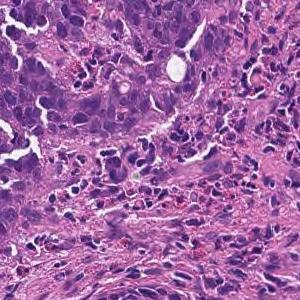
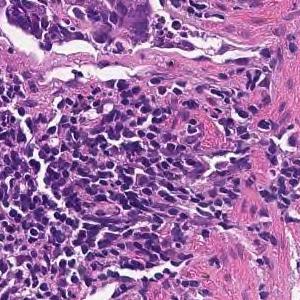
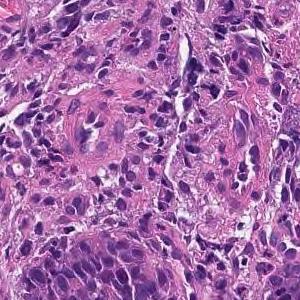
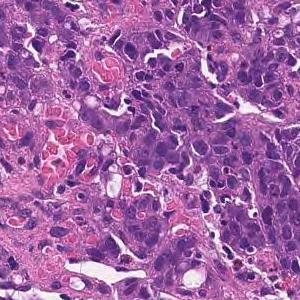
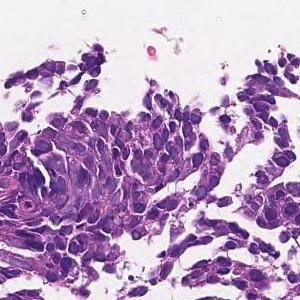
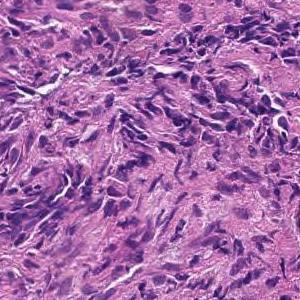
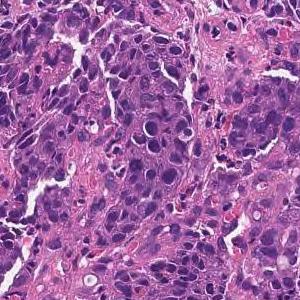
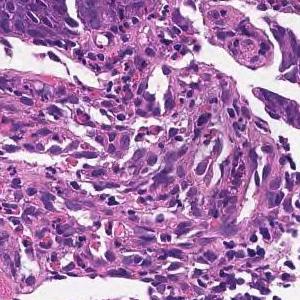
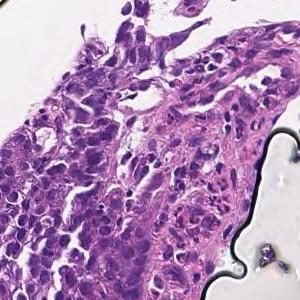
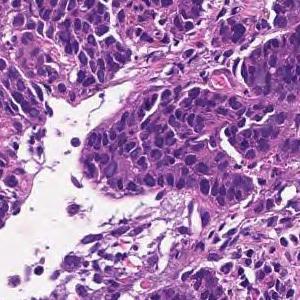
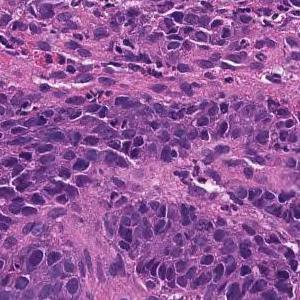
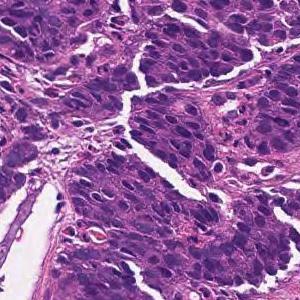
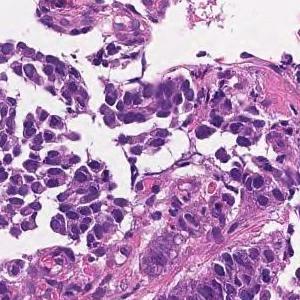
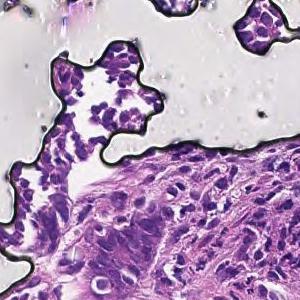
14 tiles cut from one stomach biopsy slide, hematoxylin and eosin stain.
Pathology report for the biopsy slide these tiles were cut from. The report describes the whole slide, diagnosis included: not every finding it names need appear in these tiles, which may also show non-tumor tissue.
Tumor tissue consisting of cord-like or small, irregular glandular ducts fused and infiltrated is observed in the superficial epithelium. Poorly differentiated adenocarcinoma, non-solid type
"Non-solid type" is a category of the Japanese Classification of Gastric Carcinoma.
